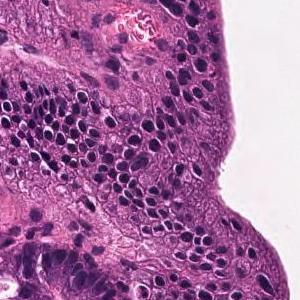
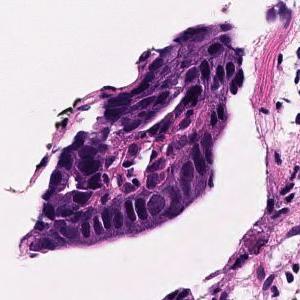
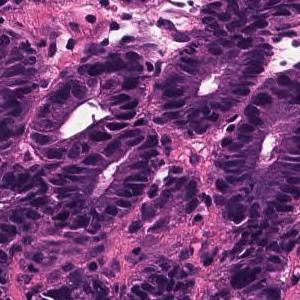
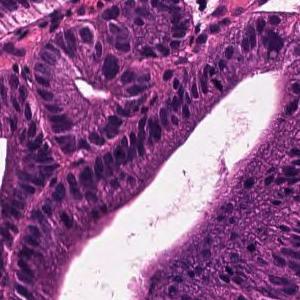
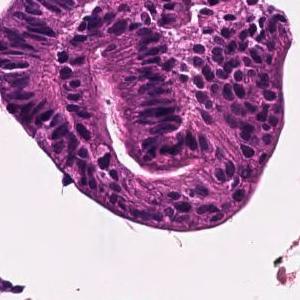
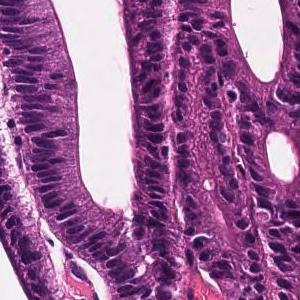
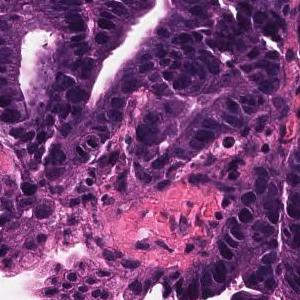
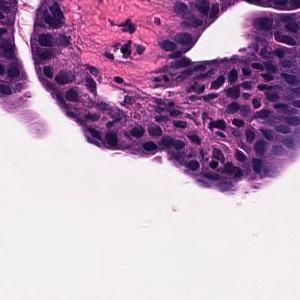
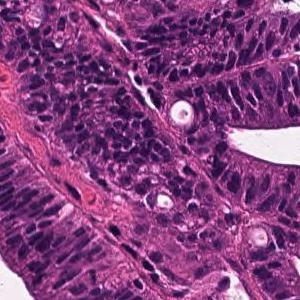
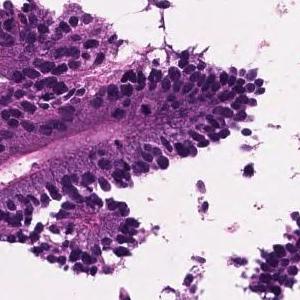
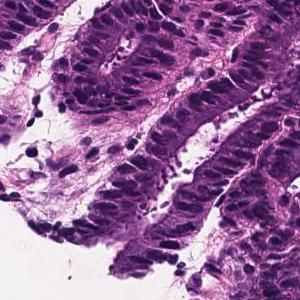
11 image tiles from a single gastric biopsy slide, scanned at ×20, H&E.
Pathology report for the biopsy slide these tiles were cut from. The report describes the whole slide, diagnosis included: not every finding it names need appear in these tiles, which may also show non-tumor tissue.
Tumor tissue that remains within the superficial epithelium and is infiltrated by large papillary or irregular ducts that fuse with each other is observed. Well differentiated tubular adenocarcinoma
